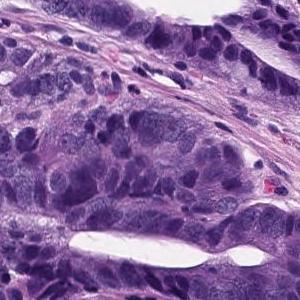
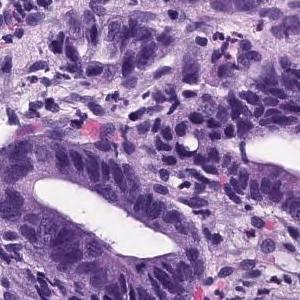
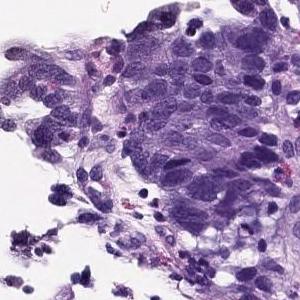
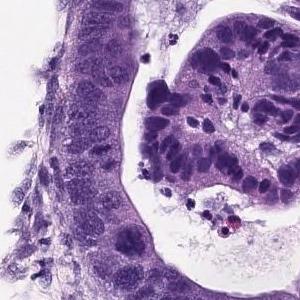
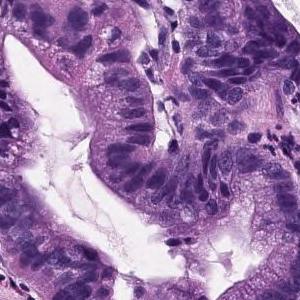
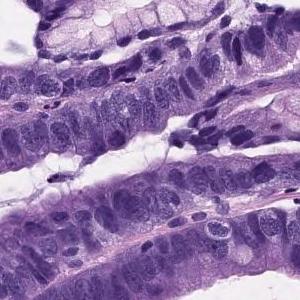
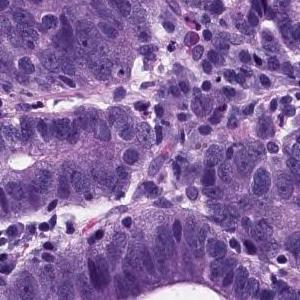
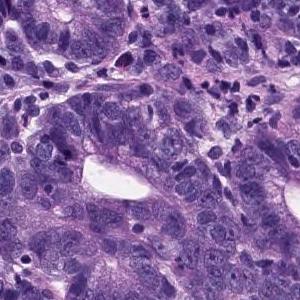
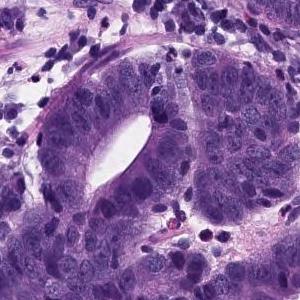
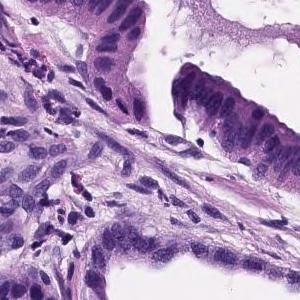
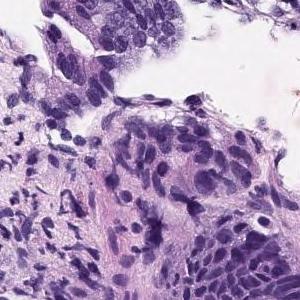
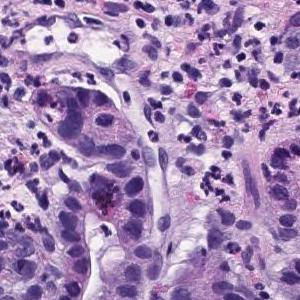
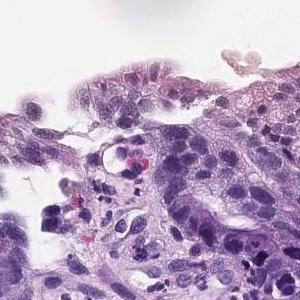
Scanned at ×20, H&E, 13 tiles from the same stomach biopsy slide, each 300 × 300 pixels.
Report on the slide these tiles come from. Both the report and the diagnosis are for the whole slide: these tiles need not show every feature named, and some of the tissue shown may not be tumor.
Tumor tissue consisting of large papillary structures is found in the superficial epithelium. Papillary adenocarcinoma.
